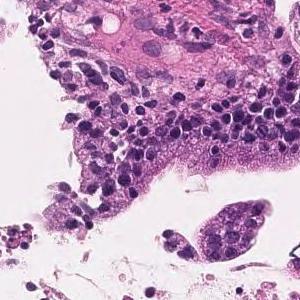
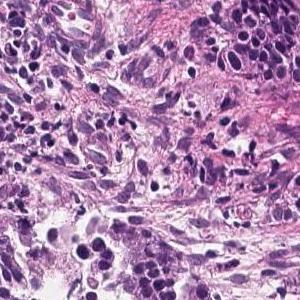
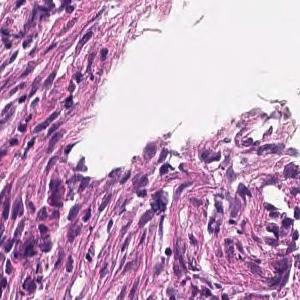
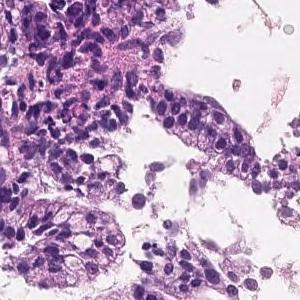
H&E stain · ×20 · 4 patches cut from one gastric biopsy slide · 300×300 px each.
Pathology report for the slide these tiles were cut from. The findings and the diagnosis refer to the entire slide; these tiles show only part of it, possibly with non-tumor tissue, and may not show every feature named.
Tumor cells are large, highly columnar, large club-shaped nuclei, and are associated with chromatin aggregation. Papillary adenocarcinoma.
